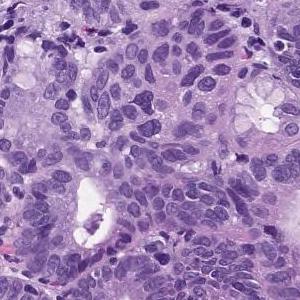
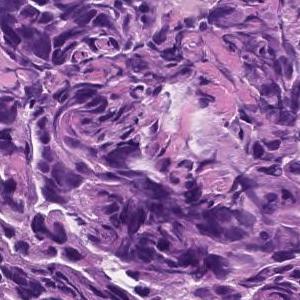
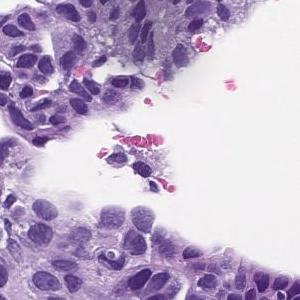
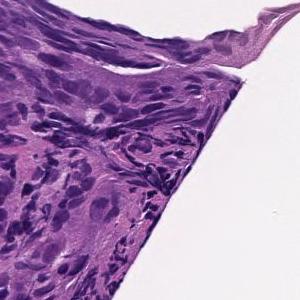
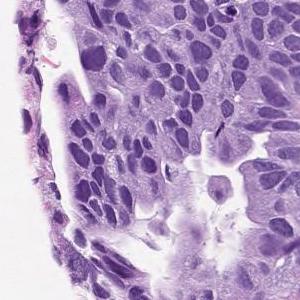
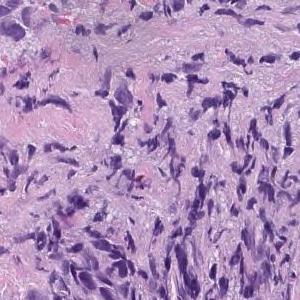
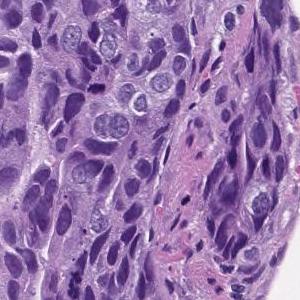
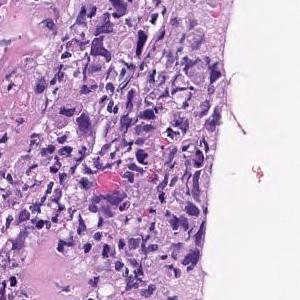
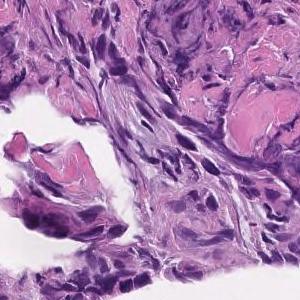
Scanned at ×20 · hematoxylin and eosin stain · 9 image tiles from a single gastric biopsy slide · 300 × 300 pixels each.
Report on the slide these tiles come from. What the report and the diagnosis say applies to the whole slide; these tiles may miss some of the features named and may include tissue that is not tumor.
In the superficial epithelium, tumor tissue that invades by forming medium-sized to small, irregular ducts is observed. moderately differentiated tubular adenocarcinoma.
